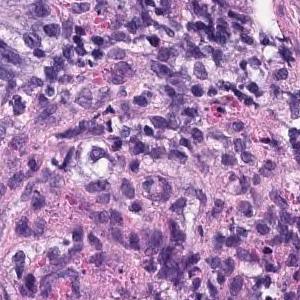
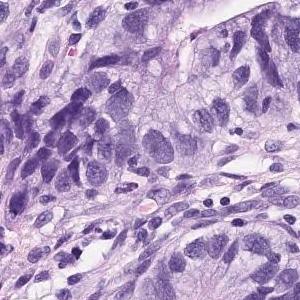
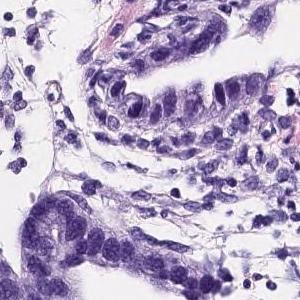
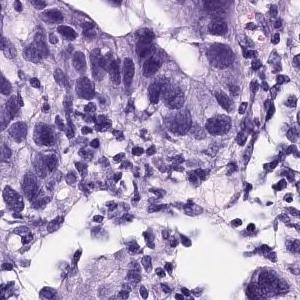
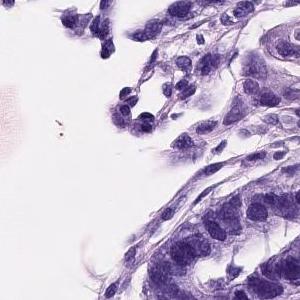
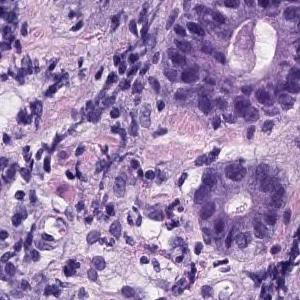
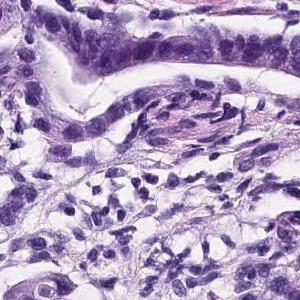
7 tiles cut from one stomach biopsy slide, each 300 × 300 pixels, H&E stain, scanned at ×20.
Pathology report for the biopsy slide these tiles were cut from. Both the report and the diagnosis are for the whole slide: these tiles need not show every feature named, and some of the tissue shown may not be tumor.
On the superficial epithelium, tumor tissue consisting of medium to small irregular tubules partially fused and proliferated is observed. moderately differentiated tubular adenocarcinoma
